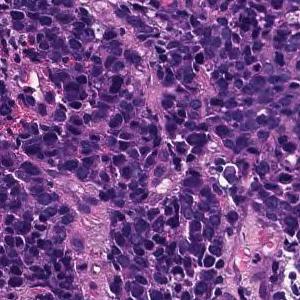
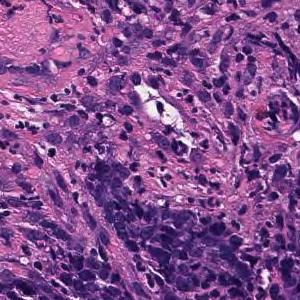
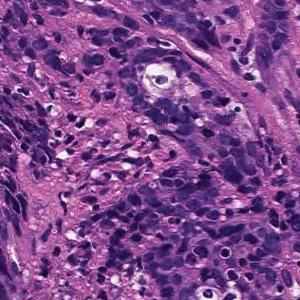
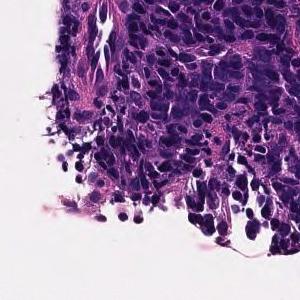
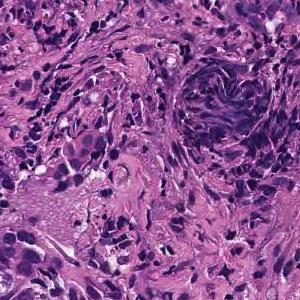
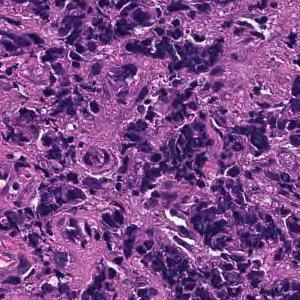
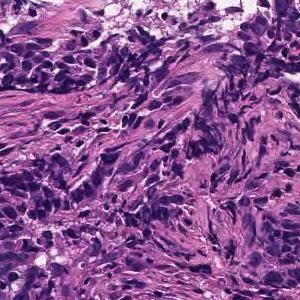
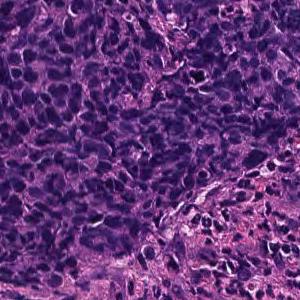
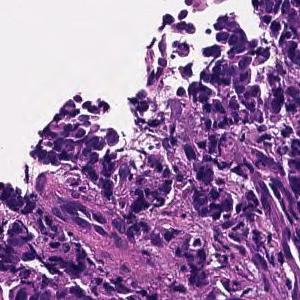
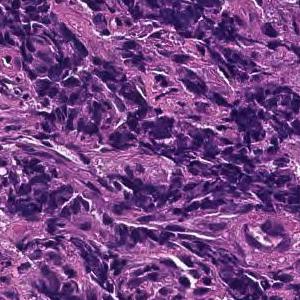
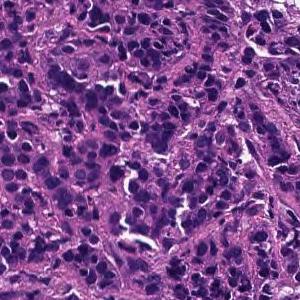
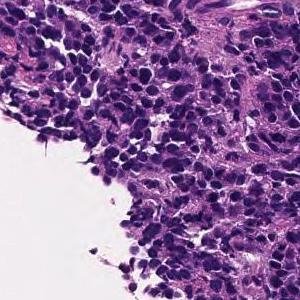
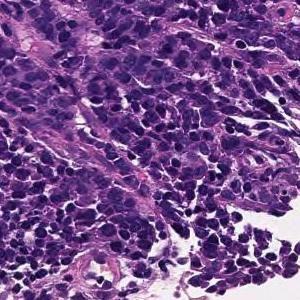
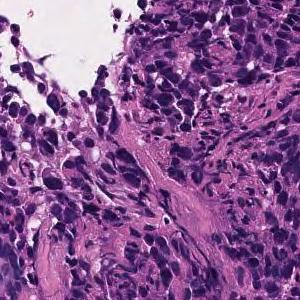
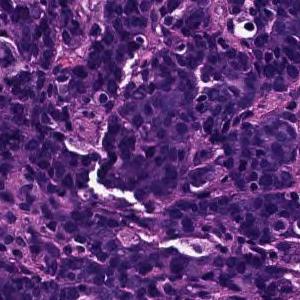
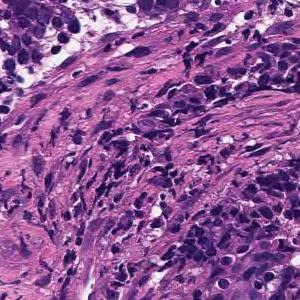
Scanned at ×20, hematoxylin and eosin stain, 16 tiles from the same stomach biopsy slide.
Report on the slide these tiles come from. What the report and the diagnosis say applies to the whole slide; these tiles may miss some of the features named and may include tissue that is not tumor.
Tumor tissue consisting of cord-like or small, irregular glandular ducts fused and infiltrated is observed in the superficial epithelium. Poorly differentiated adenocarcinoma, non-solid type
"Non-solid type" is a category of the Japanese Classification of Gastric Carcinoma.
